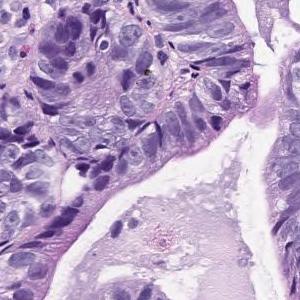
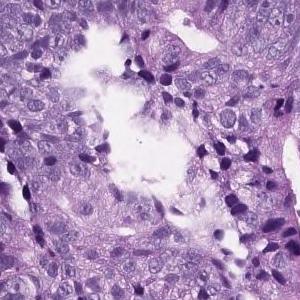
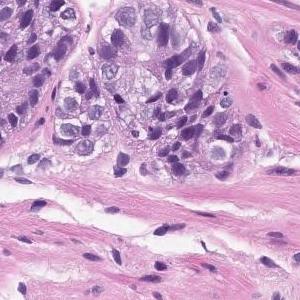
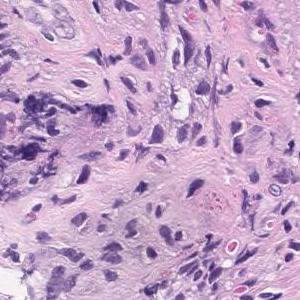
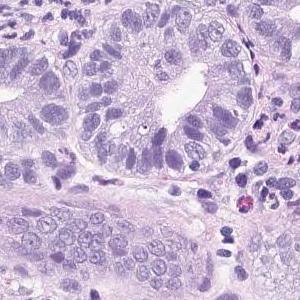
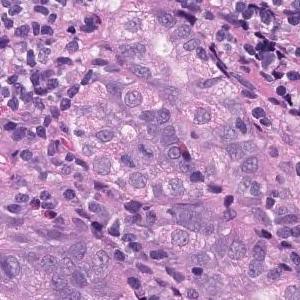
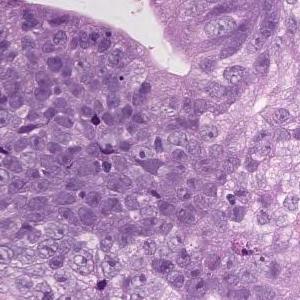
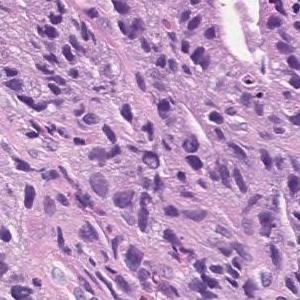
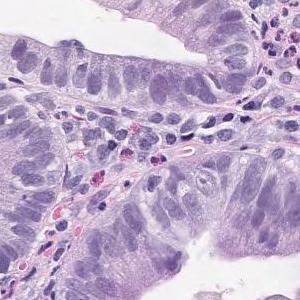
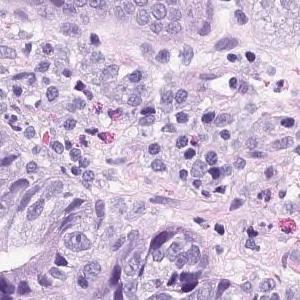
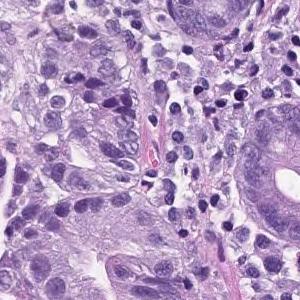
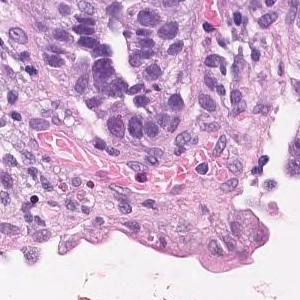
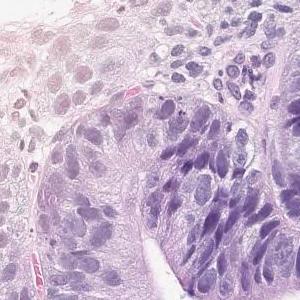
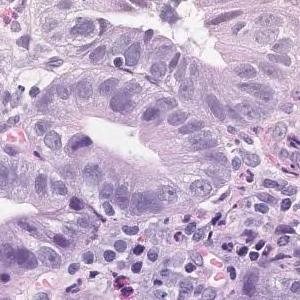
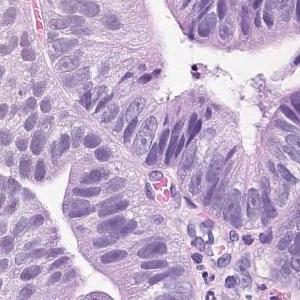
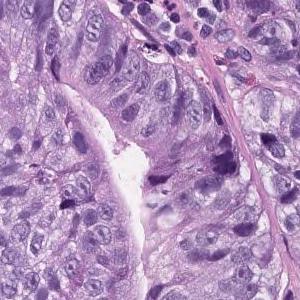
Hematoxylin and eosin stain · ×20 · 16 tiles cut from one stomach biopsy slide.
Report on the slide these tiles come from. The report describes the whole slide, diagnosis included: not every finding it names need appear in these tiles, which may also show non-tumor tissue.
On the superficial epithelium, tumor tissue consisting of medium to small irregular tubules partially fused and proliferated is observed. moderately differentiated tubular adenocarcinoma
